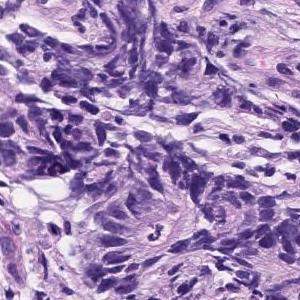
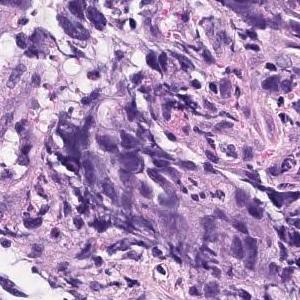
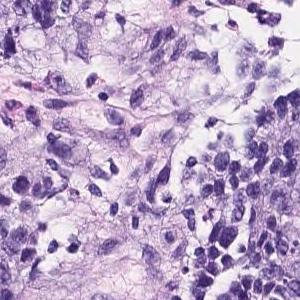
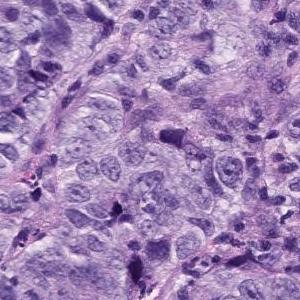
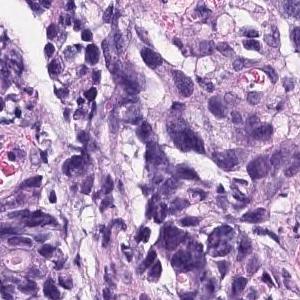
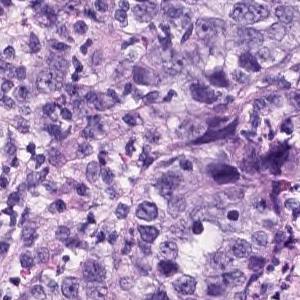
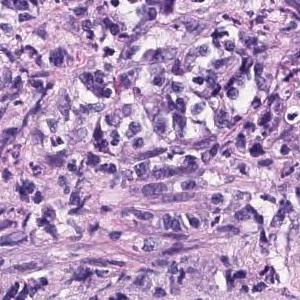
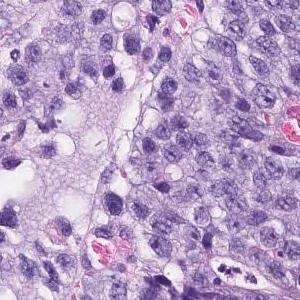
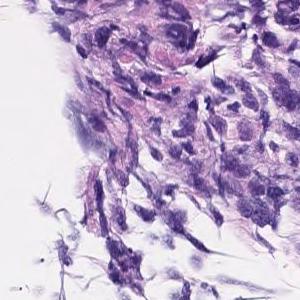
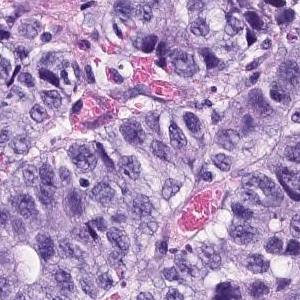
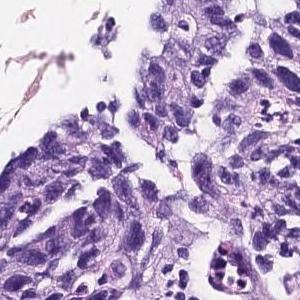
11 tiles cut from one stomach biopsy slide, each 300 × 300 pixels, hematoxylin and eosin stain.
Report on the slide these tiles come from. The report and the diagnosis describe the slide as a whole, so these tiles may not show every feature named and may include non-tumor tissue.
The superficial epithelium shows a large sheet-like shape, and some tumor tissue infiltrates with small irregular ducts. Poorly differentiated adenocarcinoma, solid-type
Subtype: Poorly differentiated adenocarcinoma, solid type. This name comes from the Japanese Classification of Gastric Carcinoma; the WHO 2019 classification calls it tubular adenocarcinoma, poorly differentiated.
